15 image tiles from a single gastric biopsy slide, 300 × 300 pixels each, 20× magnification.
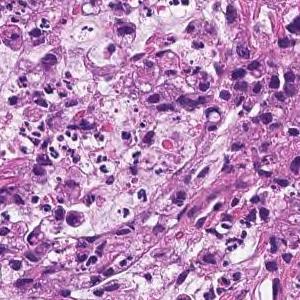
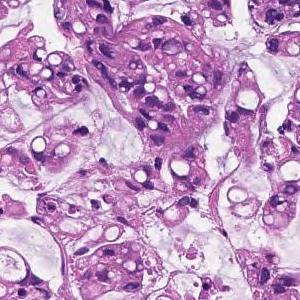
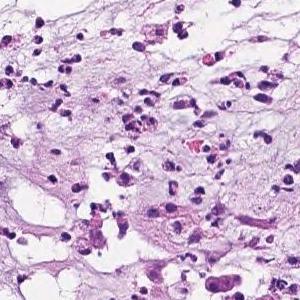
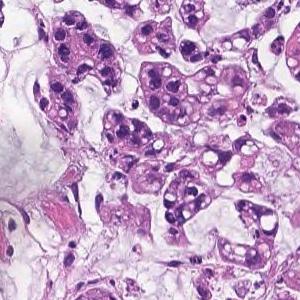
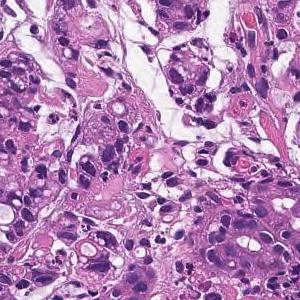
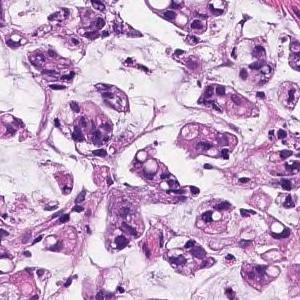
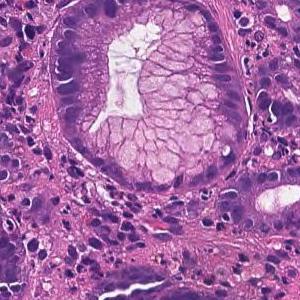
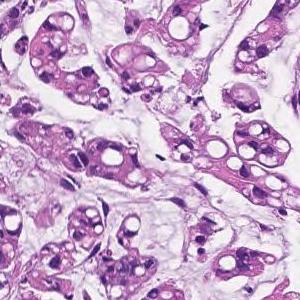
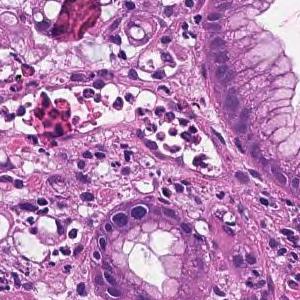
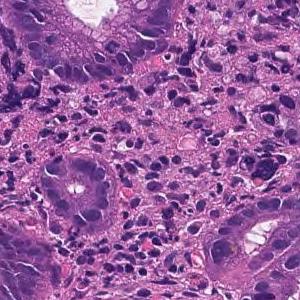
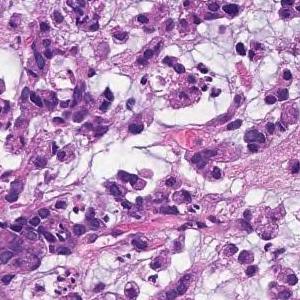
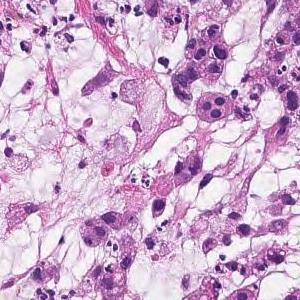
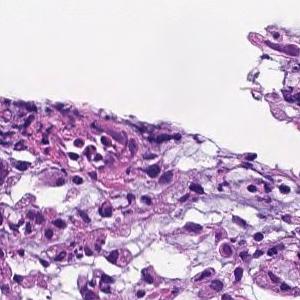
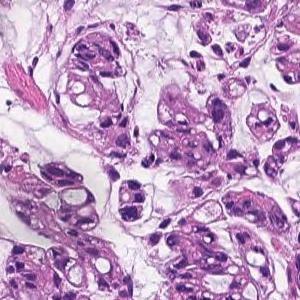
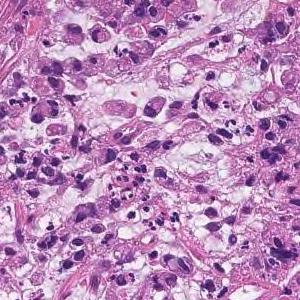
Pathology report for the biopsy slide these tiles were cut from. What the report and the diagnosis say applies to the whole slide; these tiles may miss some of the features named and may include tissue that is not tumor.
Tumor tissue consisting of cord-like or small, irregular glandular ducts fused and infiltrated is observed in the superficial epithelium. Poorly differentiated adenocarcinoma, non-solid type
The term "non-solid type" comes from the Japanese Classification of Gastric Carcinoma.
